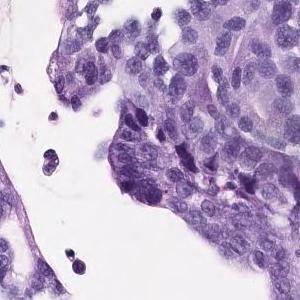
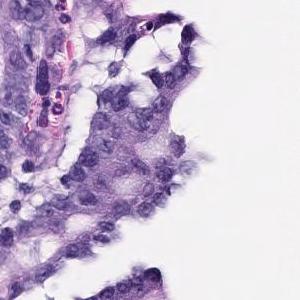
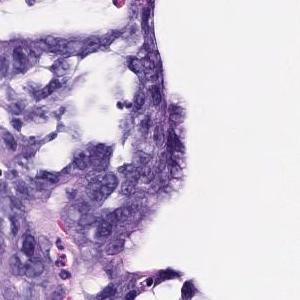
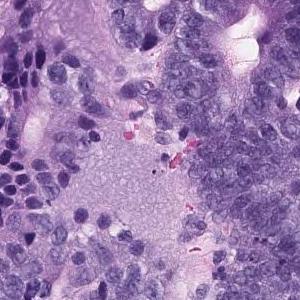
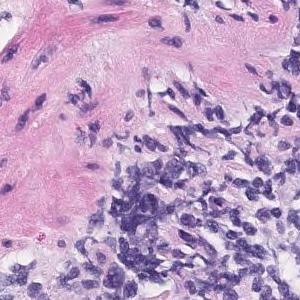
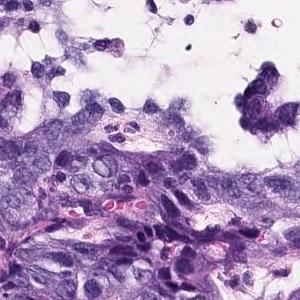
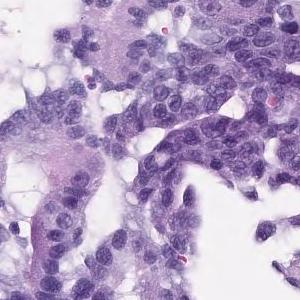
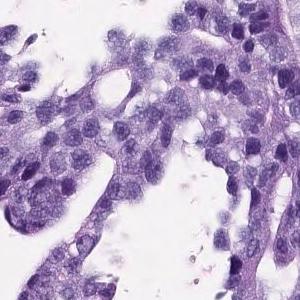
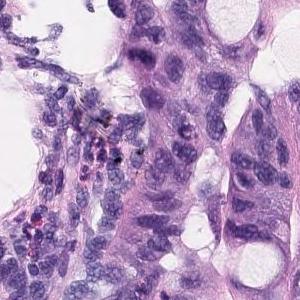
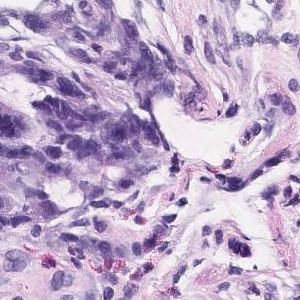
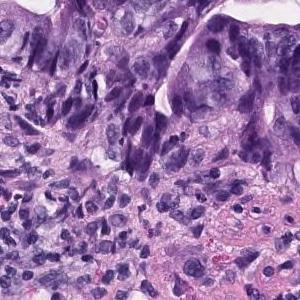
11 tiles from the same stomach biopsy slide · 20× magnification.
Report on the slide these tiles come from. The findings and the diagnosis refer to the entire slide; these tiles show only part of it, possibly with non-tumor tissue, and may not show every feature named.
In the superficial epithelium, tumor tissue that invades by forming medium-sized to small, irregular ducts is observed. Well to moderately differentiated tubular adenocarcinoma.
